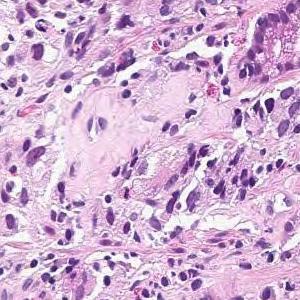
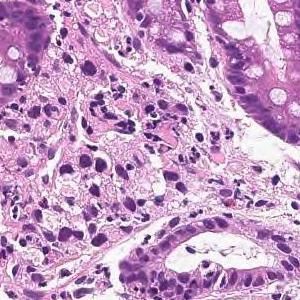
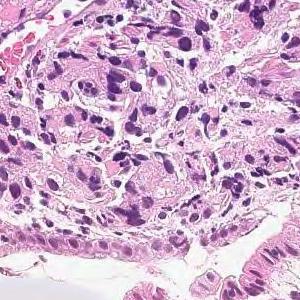
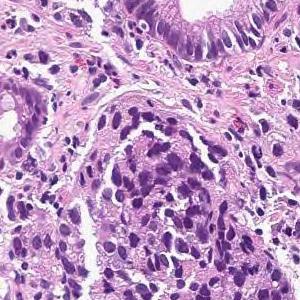
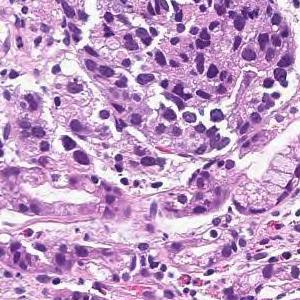
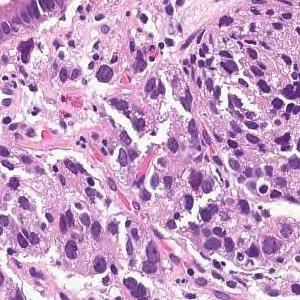
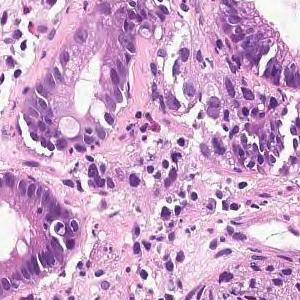
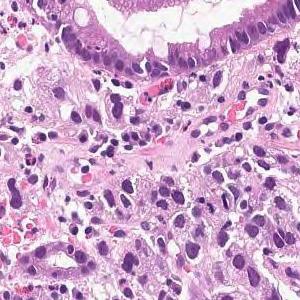
8 tiles cut from one stomach biopsy slide; hematoxylin and eosin stain; 20× magnification.
The pathologist's report on the biopsy slide these tiles were taken from. The report describes the whole slide, diagnosis included: not every finding it names need appear in these tiles, which may also show non-tumor tissue.
Tumor tissue consisting of medium-sized, cord-like or irregular glandular infiltration is observed in the superficial epithelium. Poorly differentiated adenocarcinoma, non-solid type or moderately differentiated tubular adenocarcinoma (moderately differentiated tubular adenocarcinoma)
The dataset labels this slide moderately differentiated tubular adenocarcinoma.
The non-solid type named here is a Japanese Classification of Gastric Carcinoma category.
